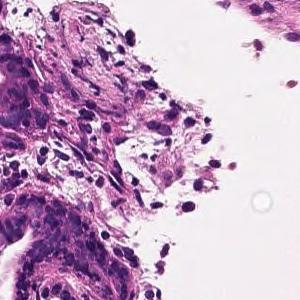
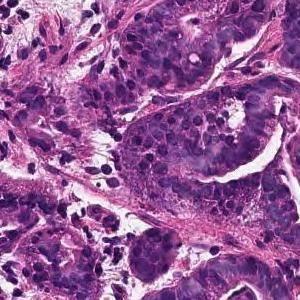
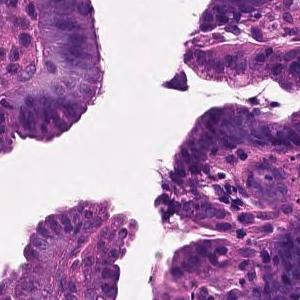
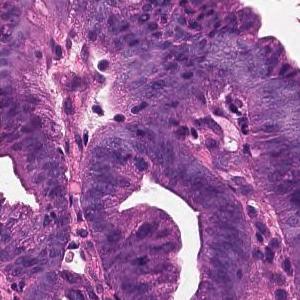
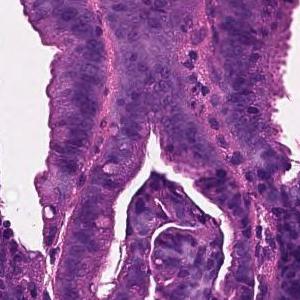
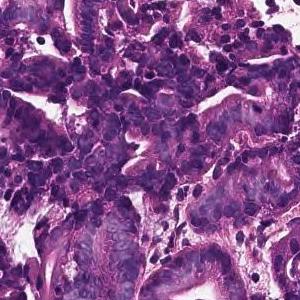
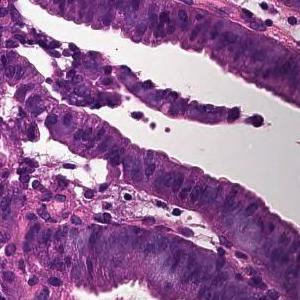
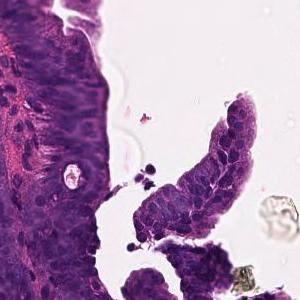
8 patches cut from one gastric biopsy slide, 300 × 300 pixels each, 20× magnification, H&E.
Pathology report for the slide these tiles were cut from. The report describes the whole slide, diagnosis included: not every finding it names need appear in these tiles, which may also show non-tumor tissue.
Tumor cells are large, highly columnar, large club-shaped nuclei, and are associated with chromatin aggregation. Papillary adenocarcinoma.
